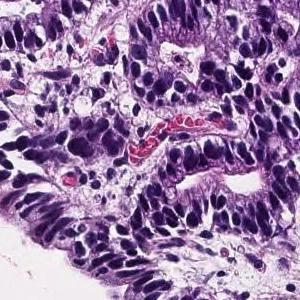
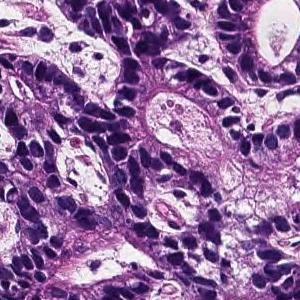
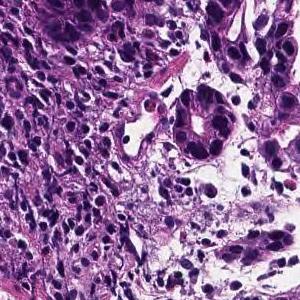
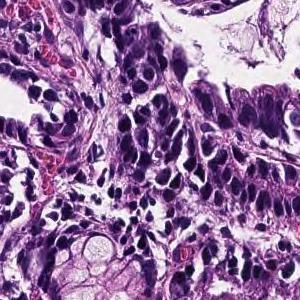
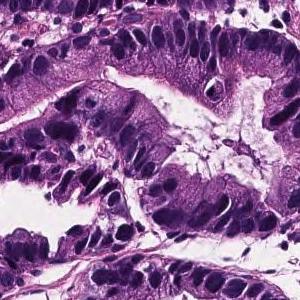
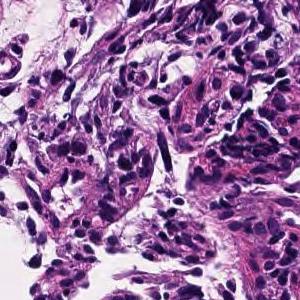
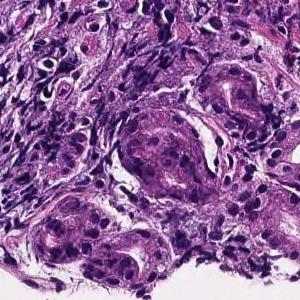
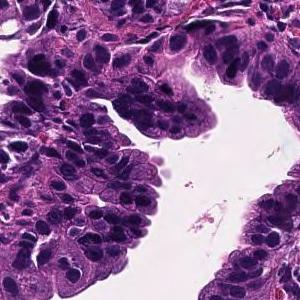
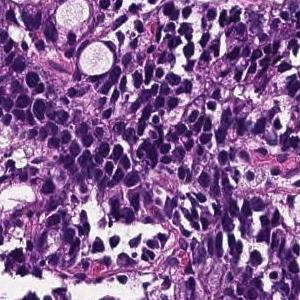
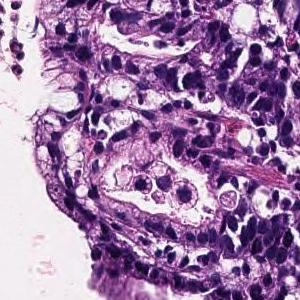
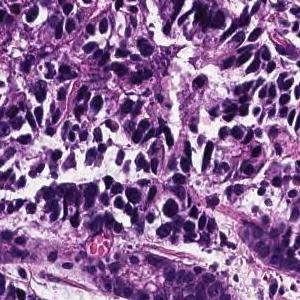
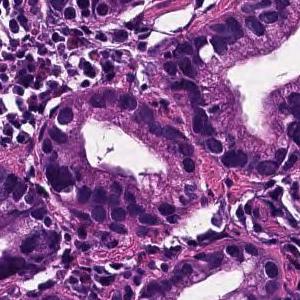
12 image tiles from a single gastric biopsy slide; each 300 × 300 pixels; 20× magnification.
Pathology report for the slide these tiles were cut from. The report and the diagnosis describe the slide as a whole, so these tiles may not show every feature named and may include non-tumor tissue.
Tumor cells are large, highly columnar, large club-shaped nuclei, and are associated with chromatin aggregation. Papillary adenocarcinoma.
